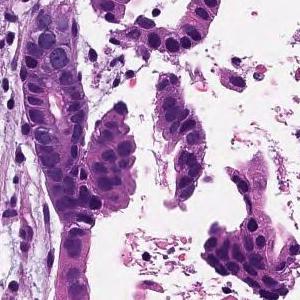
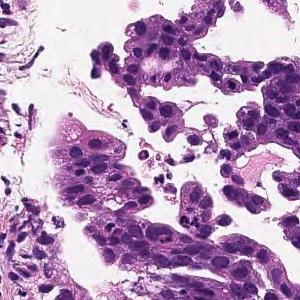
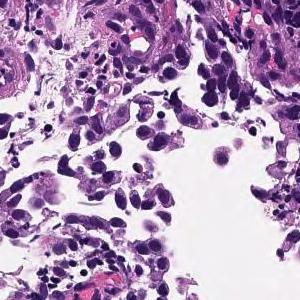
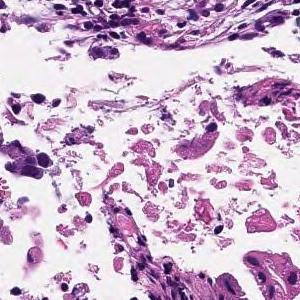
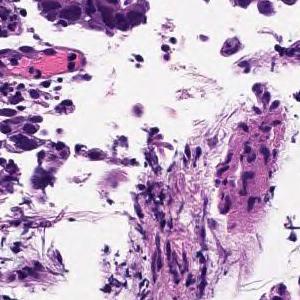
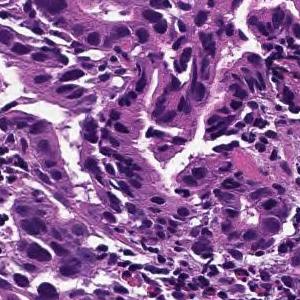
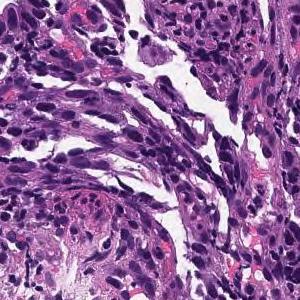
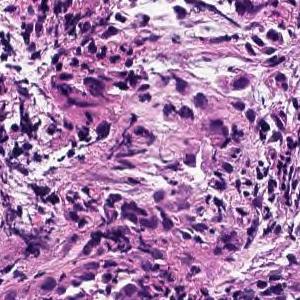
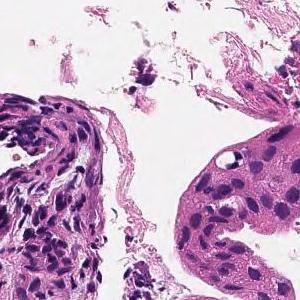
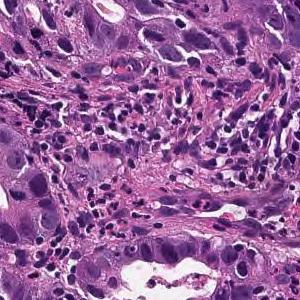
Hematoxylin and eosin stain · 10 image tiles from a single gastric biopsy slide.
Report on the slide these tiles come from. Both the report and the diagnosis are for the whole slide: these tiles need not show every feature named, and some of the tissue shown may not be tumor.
In the superficial epithelium, tumor tissue that invades by forming medium-sized to small, irregular ducts is observed. moderately differentiated tubular adenocarcinoma.
